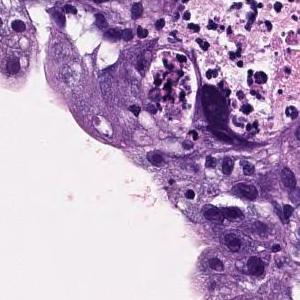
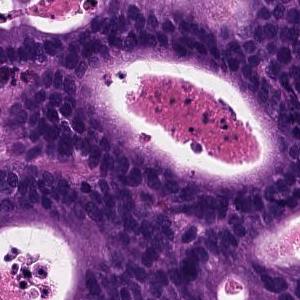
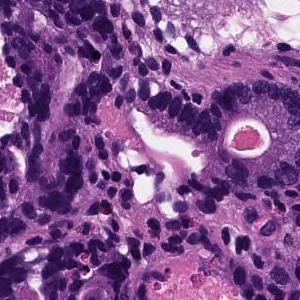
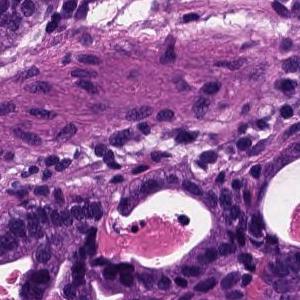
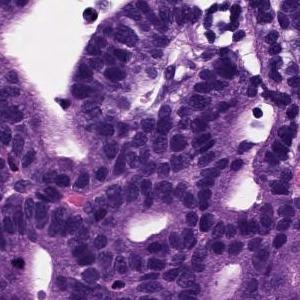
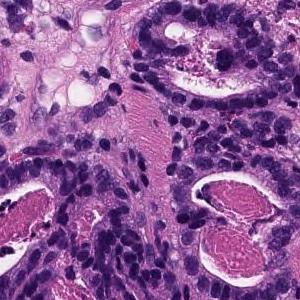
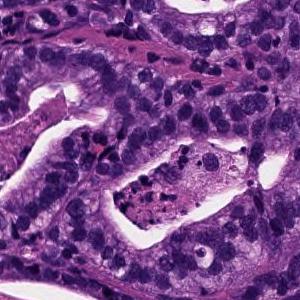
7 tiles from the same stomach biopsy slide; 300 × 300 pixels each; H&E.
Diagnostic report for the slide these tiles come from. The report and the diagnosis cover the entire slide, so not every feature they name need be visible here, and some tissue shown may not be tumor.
From the superficial epithelium to the muscularis mucosae, tumor tissue consisting of medium-sized and irregular glandular ducts infiltrating is observed. Well differentiated tubular adenocarcinoma
